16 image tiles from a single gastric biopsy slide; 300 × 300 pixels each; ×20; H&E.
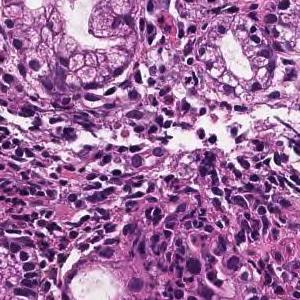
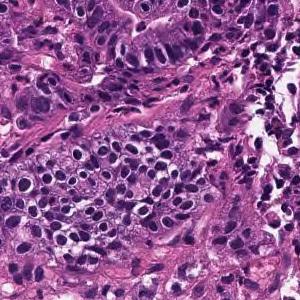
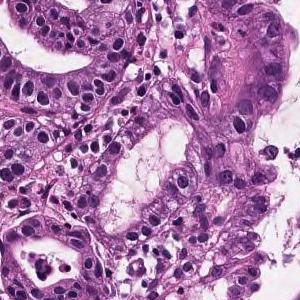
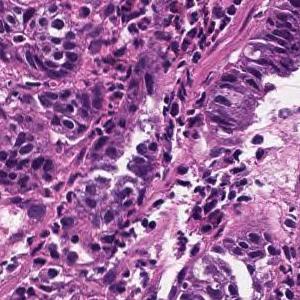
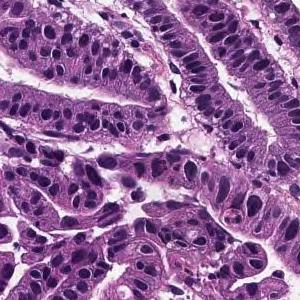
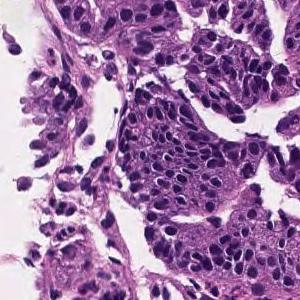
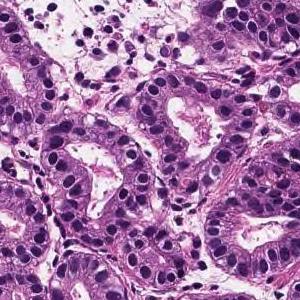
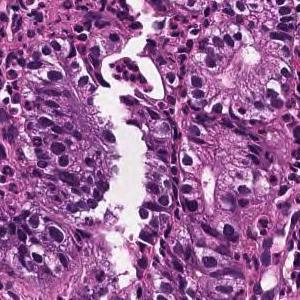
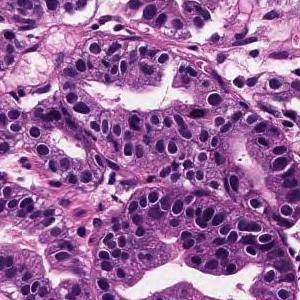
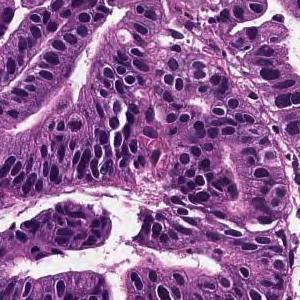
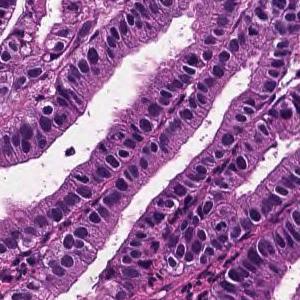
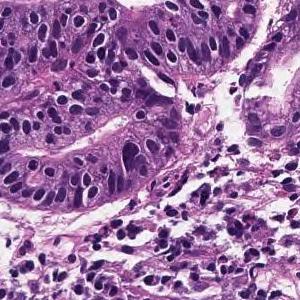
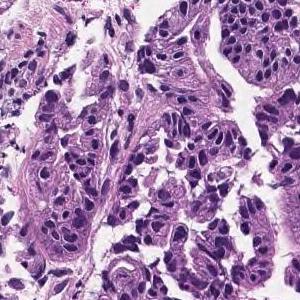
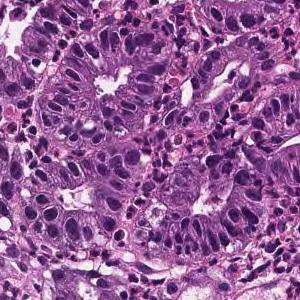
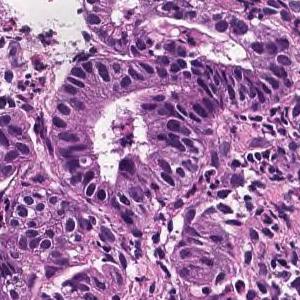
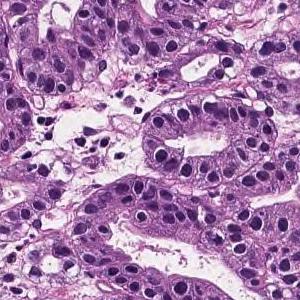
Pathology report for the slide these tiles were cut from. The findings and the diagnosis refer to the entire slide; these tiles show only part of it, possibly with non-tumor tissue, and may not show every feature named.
On the superficial epithelium, tumor tissue that infiltrates by forming medium-sized round or small irregular ducts is observed. Papillary adenocarcinoma
